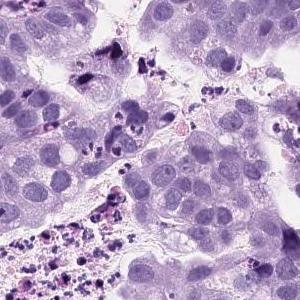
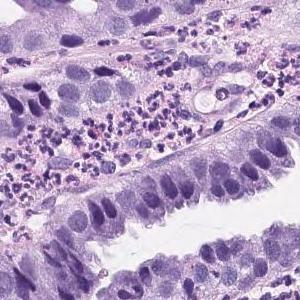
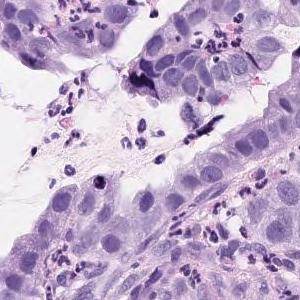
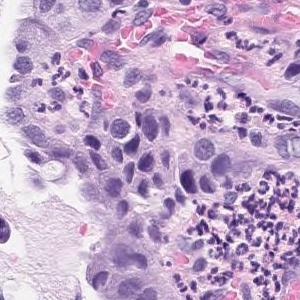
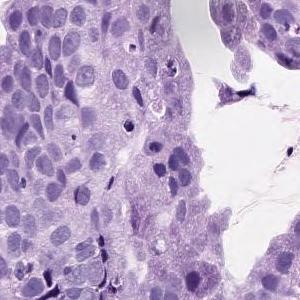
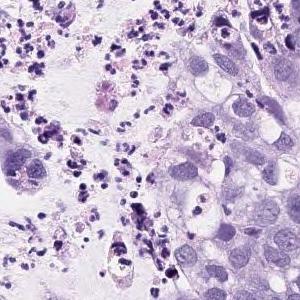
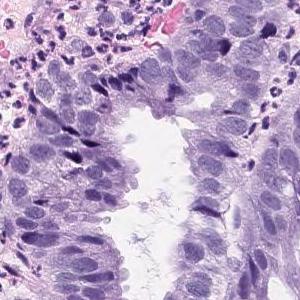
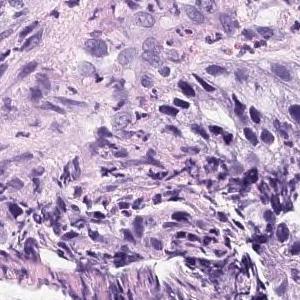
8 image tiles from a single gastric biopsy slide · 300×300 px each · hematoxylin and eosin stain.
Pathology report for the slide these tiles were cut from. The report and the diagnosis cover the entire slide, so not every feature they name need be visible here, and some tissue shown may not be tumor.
Atypical l cells with atypical nuclei forming solid or diffuse vesicles or small irregular atypical ducts and growing in a complex manner. Well differentiated tubular adenocarcinoma
